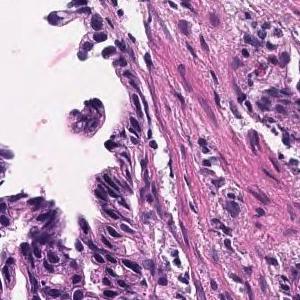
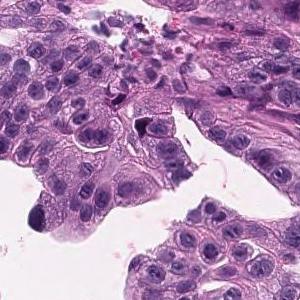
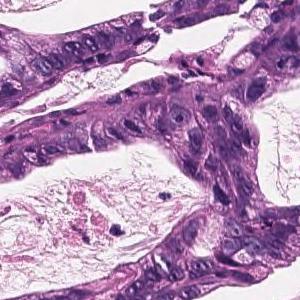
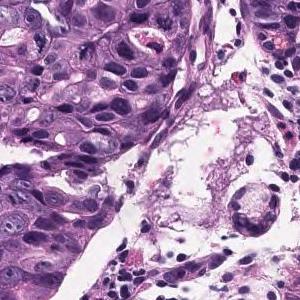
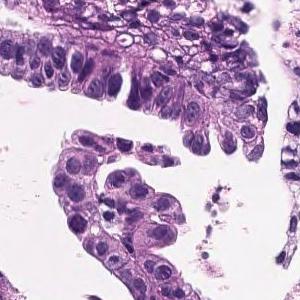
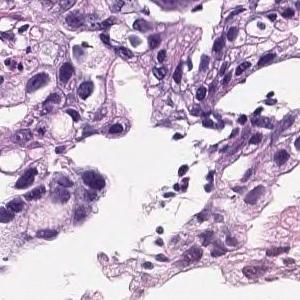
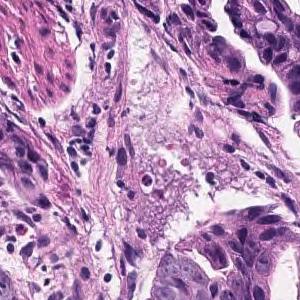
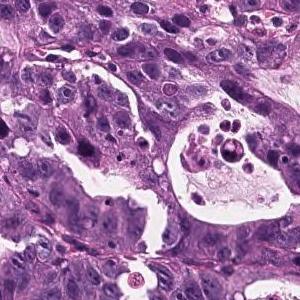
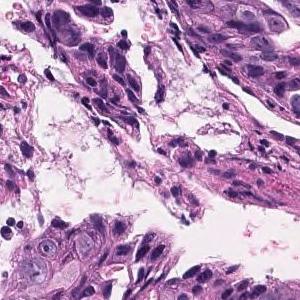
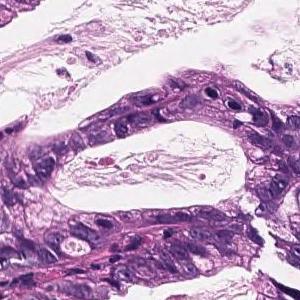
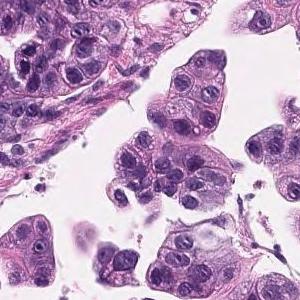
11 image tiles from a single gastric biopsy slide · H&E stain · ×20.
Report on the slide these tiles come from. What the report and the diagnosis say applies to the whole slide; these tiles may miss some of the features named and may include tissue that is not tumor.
Tumor cells are large, highly columnar, large club-shaped nuclei, and are associated with chromatin aggregation. Papillary adenocarcinoma.
